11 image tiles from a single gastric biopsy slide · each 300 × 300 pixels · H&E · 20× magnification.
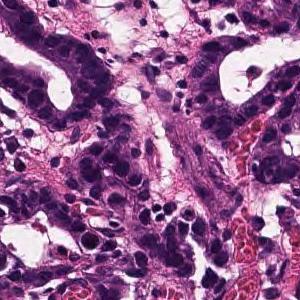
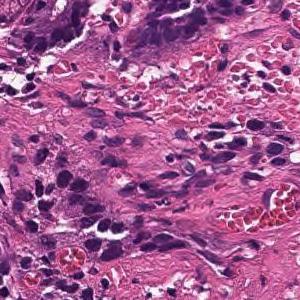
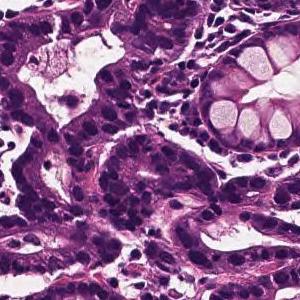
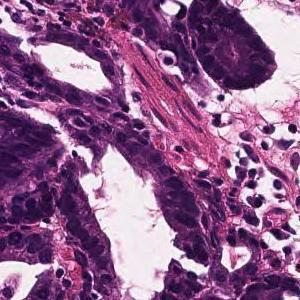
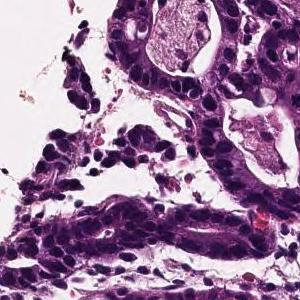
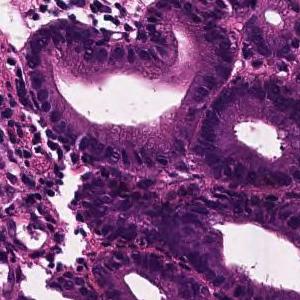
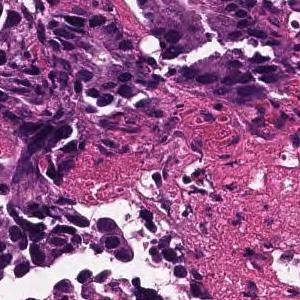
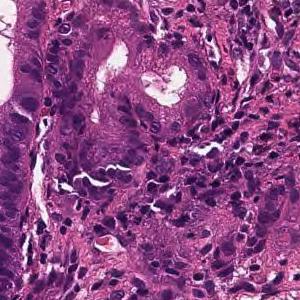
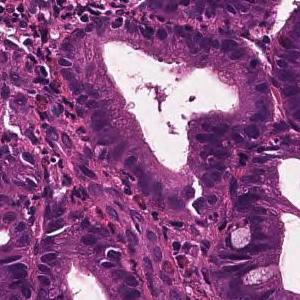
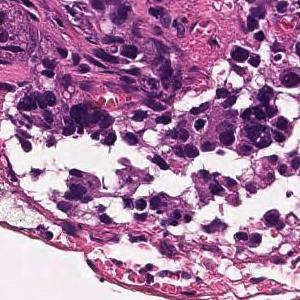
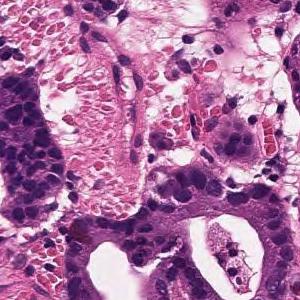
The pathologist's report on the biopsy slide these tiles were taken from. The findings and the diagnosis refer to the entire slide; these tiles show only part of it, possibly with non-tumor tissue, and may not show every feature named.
On the superficial epithelium, tumor tissue consisting of medium-sized and irregular glandular ducts partially fused and infiltrated is observed. Well to moderately differentiated tubular adenocarcinoma (well differentiated tubular adenocarcinoma-moderately differentiated tubular adenocarcinoma)
Histological subtype: Well to moderately differentiated tubular adenocarcinoma.
